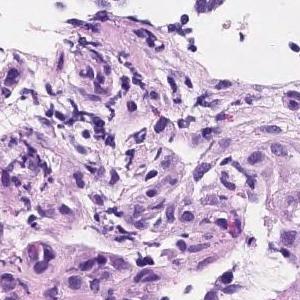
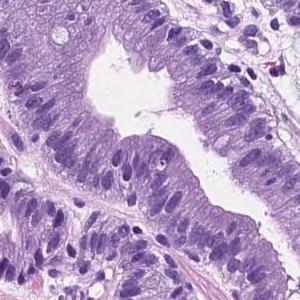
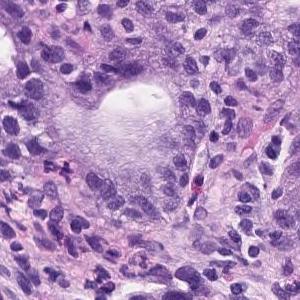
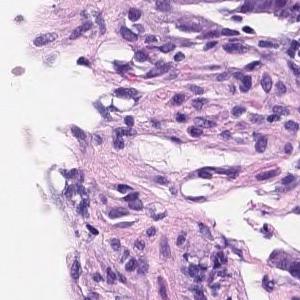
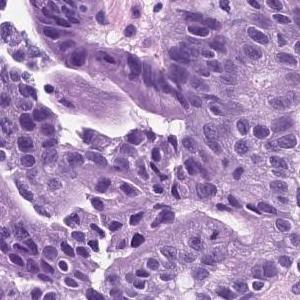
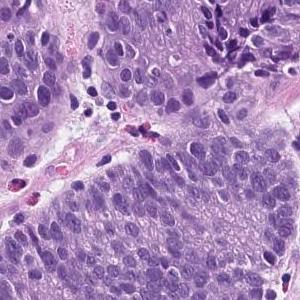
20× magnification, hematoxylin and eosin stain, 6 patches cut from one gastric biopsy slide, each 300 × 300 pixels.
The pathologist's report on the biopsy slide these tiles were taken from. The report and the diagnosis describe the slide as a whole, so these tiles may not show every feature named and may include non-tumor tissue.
Tumor tissue consisting of medium-sized and irregular ducts is observed infiltrating in the superficial epithelium. Tumor cells are highly columnar, with nuclei aligned basolaterally and polarized. Well differentiated tubular adenocarcinoma.
